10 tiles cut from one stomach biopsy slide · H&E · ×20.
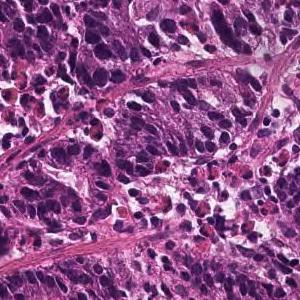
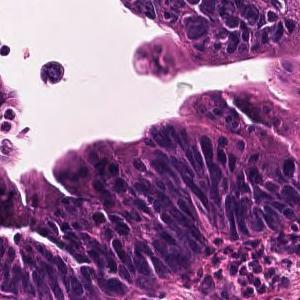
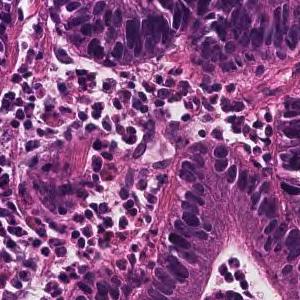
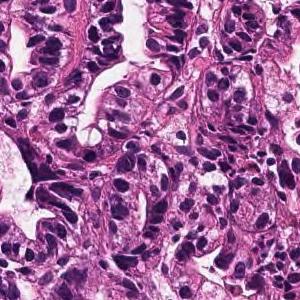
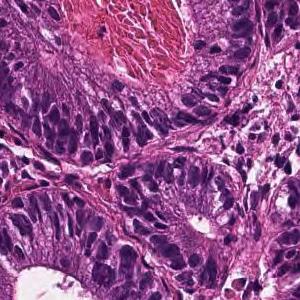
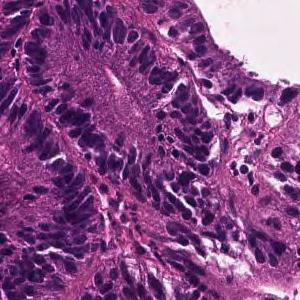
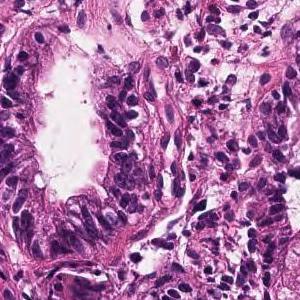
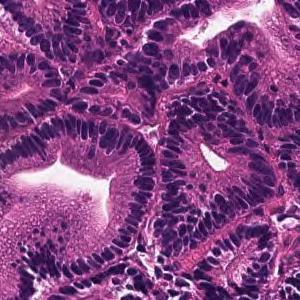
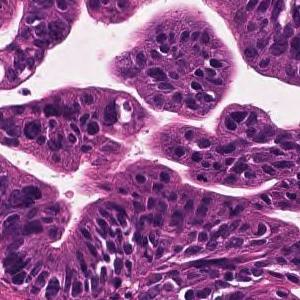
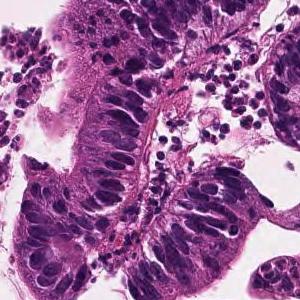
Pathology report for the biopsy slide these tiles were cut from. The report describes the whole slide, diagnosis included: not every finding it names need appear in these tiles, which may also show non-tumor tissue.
A large irregular tubular structure is exhibited in the epithelium, and tumor tissue that partially fuses and infiltrates and proliferates is observed. Large columnar tumor cells exhibit enlarged nucleus, hyperchromatism, and mitotic figures. Well differentiated tubular adenocarcinoma
